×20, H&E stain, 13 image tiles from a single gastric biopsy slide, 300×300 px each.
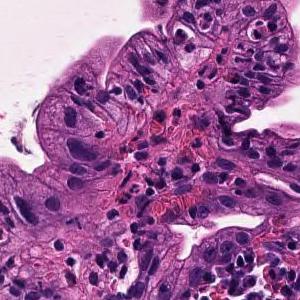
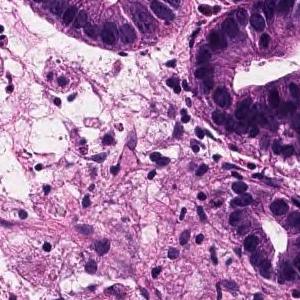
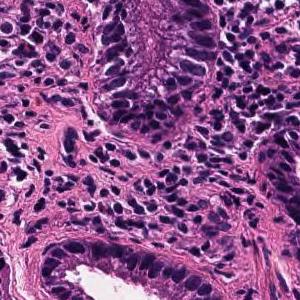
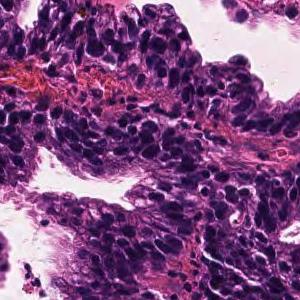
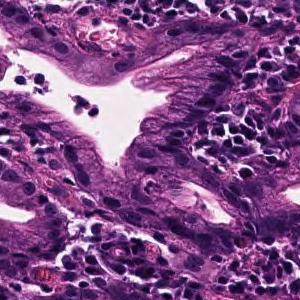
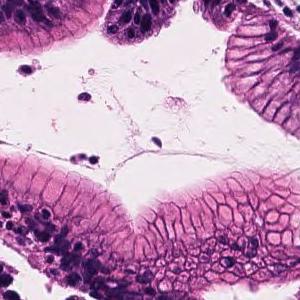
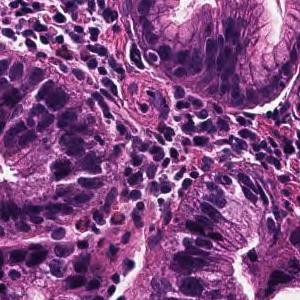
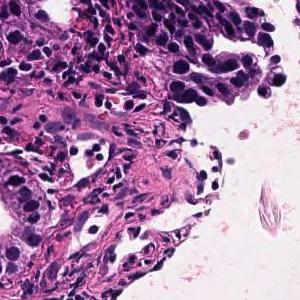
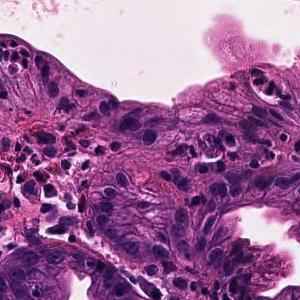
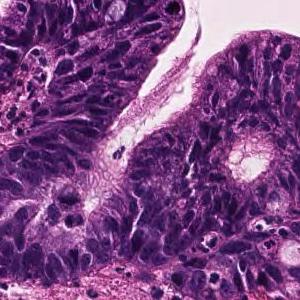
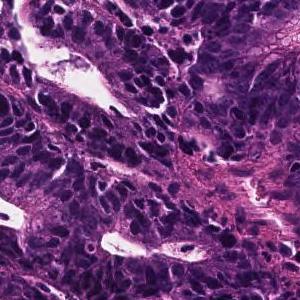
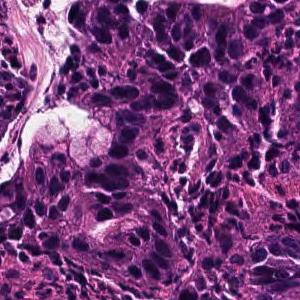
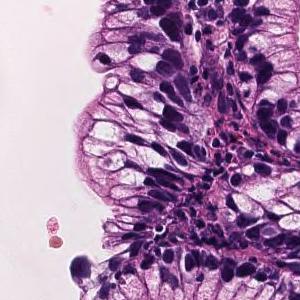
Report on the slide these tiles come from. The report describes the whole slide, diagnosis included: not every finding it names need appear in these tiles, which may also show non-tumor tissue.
Tumor cells are large, highly columnar, large club-shaped nuclei, and are associated with chromatin aggregation. Papillary adenocarcinoma.
